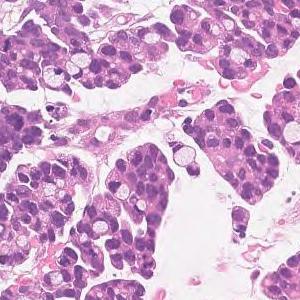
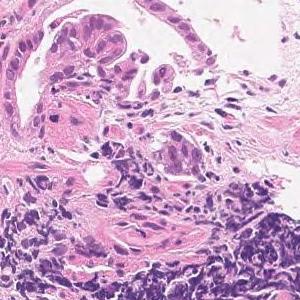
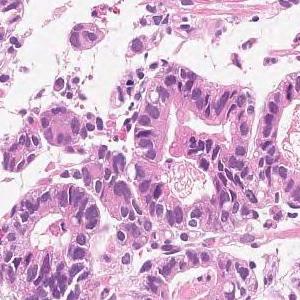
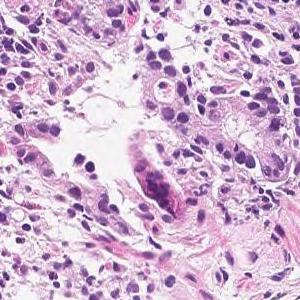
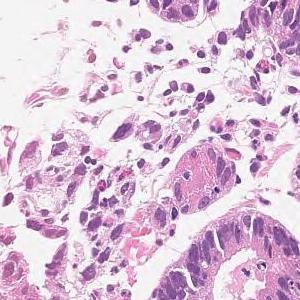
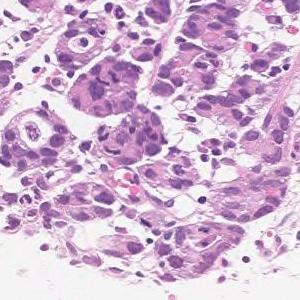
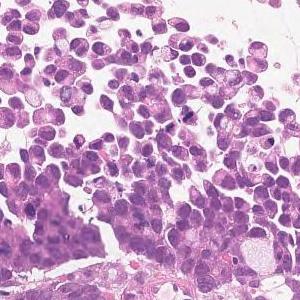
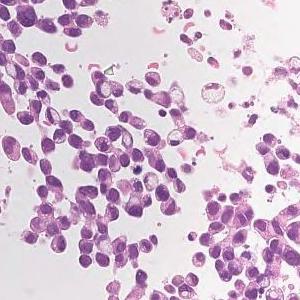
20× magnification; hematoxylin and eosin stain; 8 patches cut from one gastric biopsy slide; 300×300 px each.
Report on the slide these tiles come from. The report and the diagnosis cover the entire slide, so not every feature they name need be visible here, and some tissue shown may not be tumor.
Medium to small, irregular glandular ducts are formed in the superficial epithelium, and in some cases, the glandular ducts are fused to show solid alveolar lesions and infiltrating tumor tissue is observed. Moderately to poorly differentiated adenocarcinoma.
